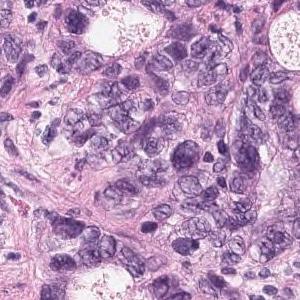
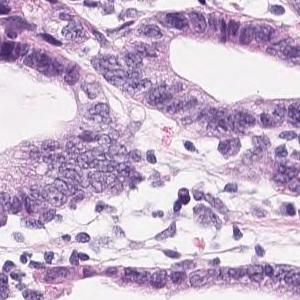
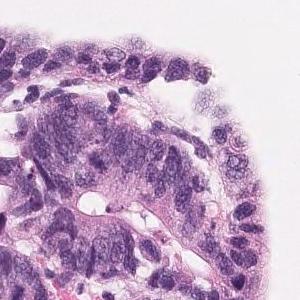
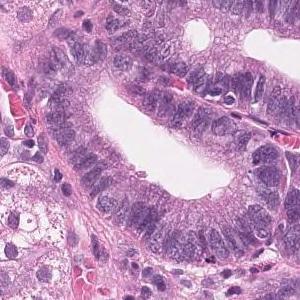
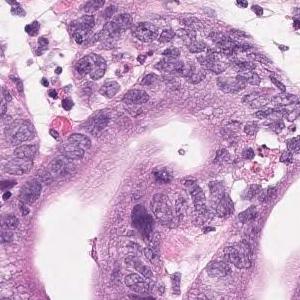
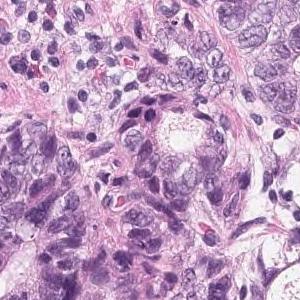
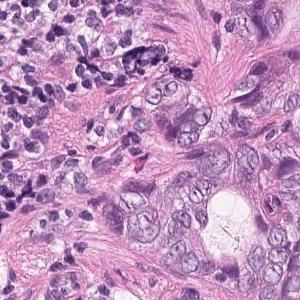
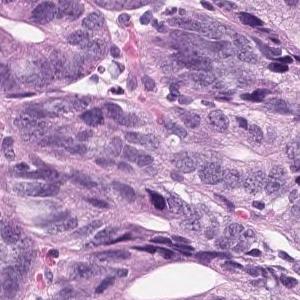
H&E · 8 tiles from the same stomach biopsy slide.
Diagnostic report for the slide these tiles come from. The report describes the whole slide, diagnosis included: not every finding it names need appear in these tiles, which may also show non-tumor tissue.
Atypical ducts with severe atypia are densely populated in the superficial epithelium, and tumor tissue with hyperplasia is observed. Well differentiated tubular adenocarcinoma
